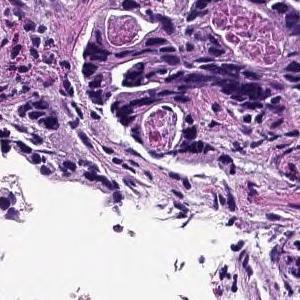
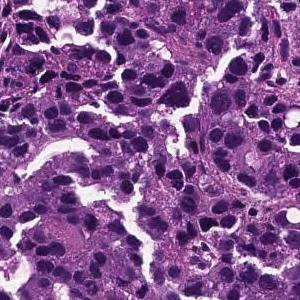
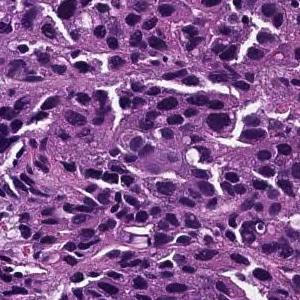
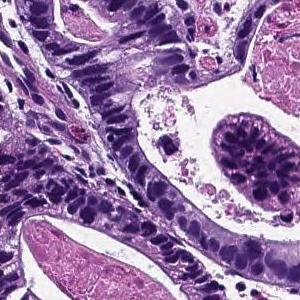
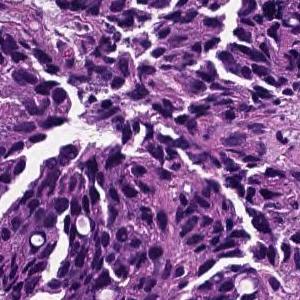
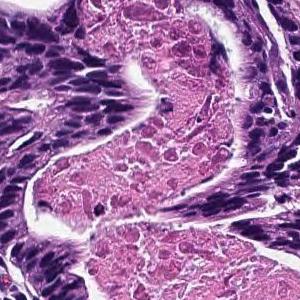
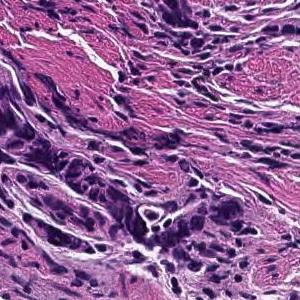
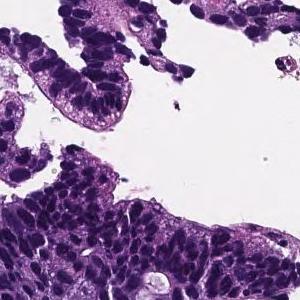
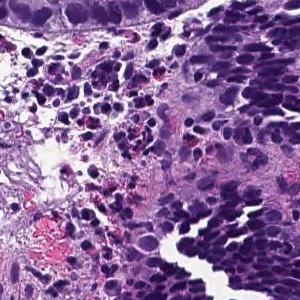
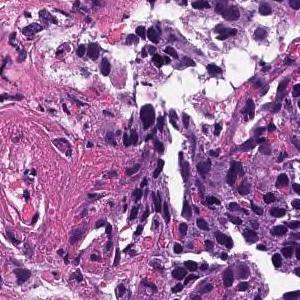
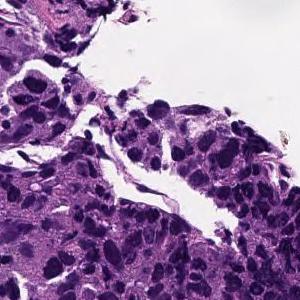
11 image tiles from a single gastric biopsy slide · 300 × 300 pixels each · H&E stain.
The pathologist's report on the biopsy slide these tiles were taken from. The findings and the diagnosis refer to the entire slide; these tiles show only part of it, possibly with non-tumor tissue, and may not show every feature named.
From the superficial epithelium to the muscularis mucosae, tumor tissue consisting of medium-sized and irregular glandular ducts infiltrating is observed. Well differentiated tubular adenocarcinoma
